×20; H&E stain; 4 patches cut from one gastric biopsy slide; 300×300 px each.
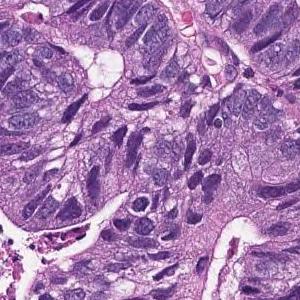
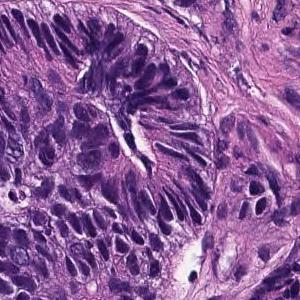
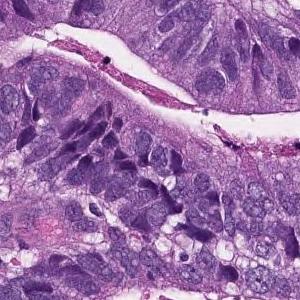
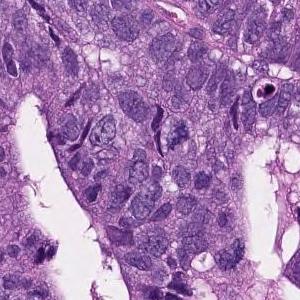
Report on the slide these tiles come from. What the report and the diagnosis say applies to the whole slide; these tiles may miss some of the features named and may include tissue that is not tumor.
In the superficial epithelium, tumor tissue that invades by forming medium-sized to small, irregular ducts is observed. moderately differentiated tubular adenocarcinoma.
